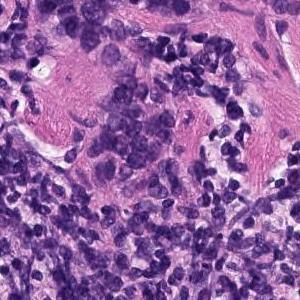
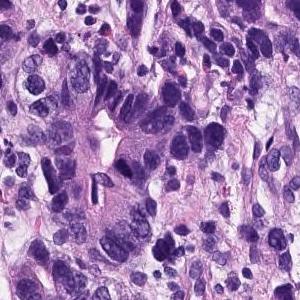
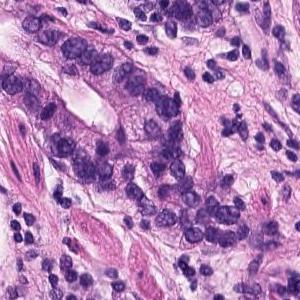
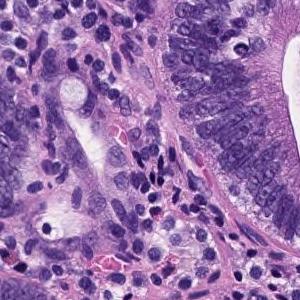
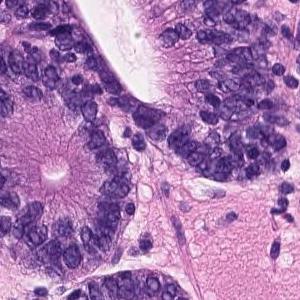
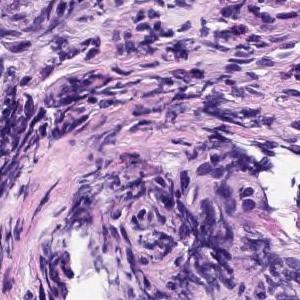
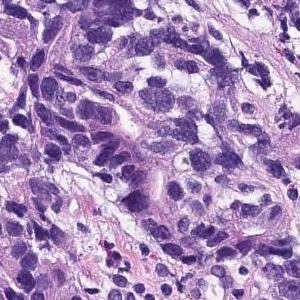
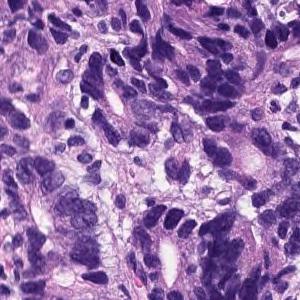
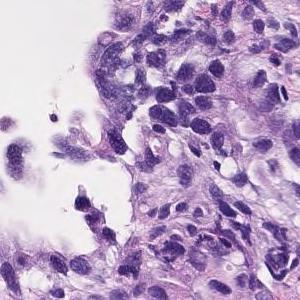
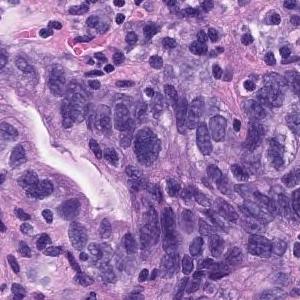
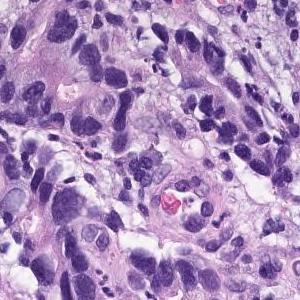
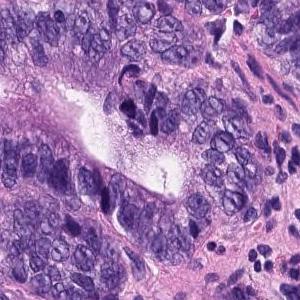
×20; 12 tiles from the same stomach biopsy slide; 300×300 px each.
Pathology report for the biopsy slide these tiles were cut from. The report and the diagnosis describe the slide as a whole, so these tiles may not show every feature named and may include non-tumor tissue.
On the superficial epithelium, tumor tissue consisting of images showing invasive growth with small, irregular tubules partially fused is observed. moderately differentiated tubular adenocarcinoma
